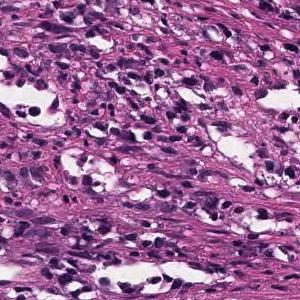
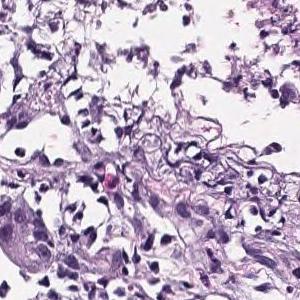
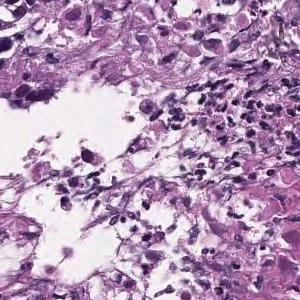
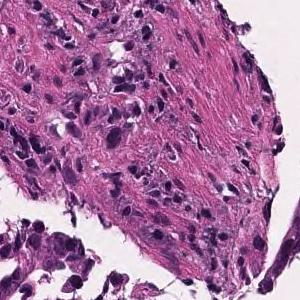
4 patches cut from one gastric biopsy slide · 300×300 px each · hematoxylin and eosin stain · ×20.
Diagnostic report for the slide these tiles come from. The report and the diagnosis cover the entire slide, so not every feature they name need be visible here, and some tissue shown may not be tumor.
In the superficial epithelium, tumor tissue that invades by forming medium-sized to small, irregular ducts is observed. moderately differentiated tubular adenocarcinoma.
